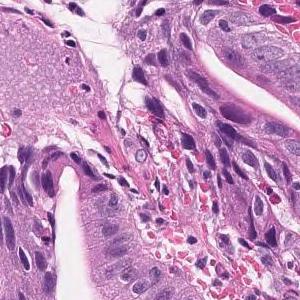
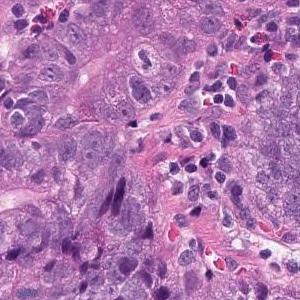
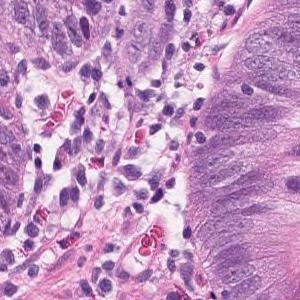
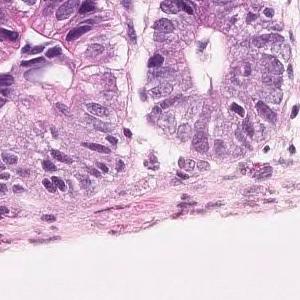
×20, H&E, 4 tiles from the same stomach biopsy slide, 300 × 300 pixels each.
The pathologist's report on the biopsy slide these tiles were taken from. The report and the diagnosis cover the entire slide, so not every feature they name need be visible here, and some tissue shown may not be tumor.
Tumor cells are large, highly columnar, large club-shaped nuclei, and are associated with chromatin aggregation. Papillary adenocarcinoma.
